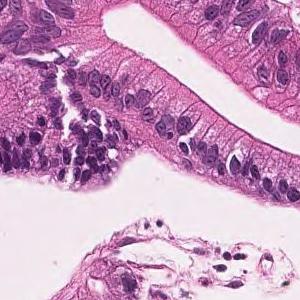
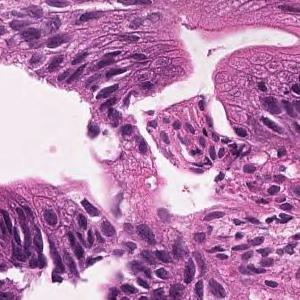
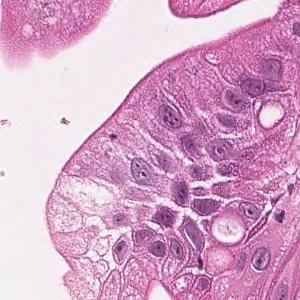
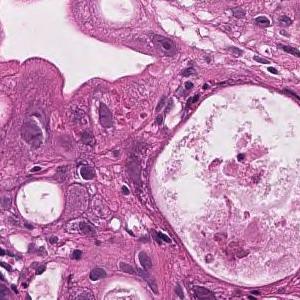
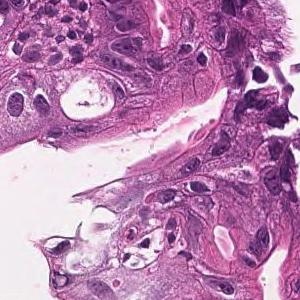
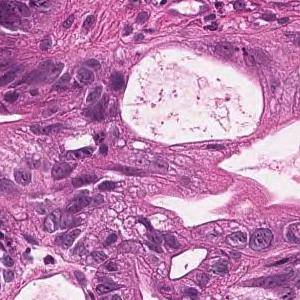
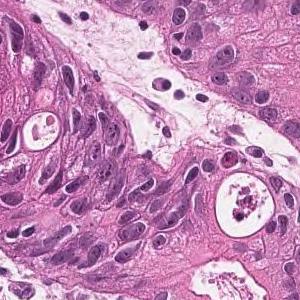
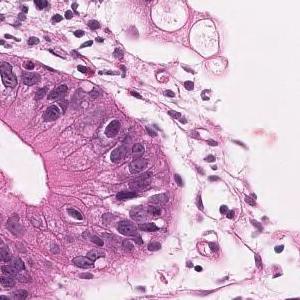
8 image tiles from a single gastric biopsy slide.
Pathology report for the biopsy slide these tiles were cut from. The findings and the diagnosis refer to the entire slide; these tiles show only part of it, possibly with non-tumor tissue, and may not show every feature named.
On the superficial epithelium, tumor tissue that infiltrates by forming medium-sized papillary or small irregular ducts is observed. Papillary adenocarcinoma
